4 tiles cut from one stomach biopsy slide · H&E stain.
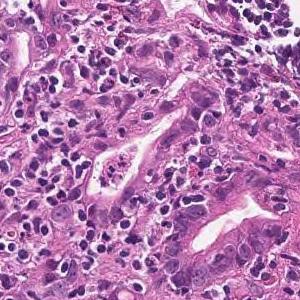
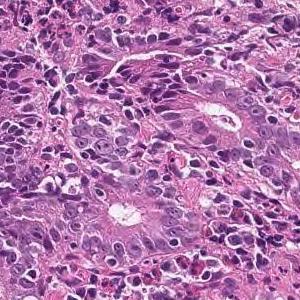
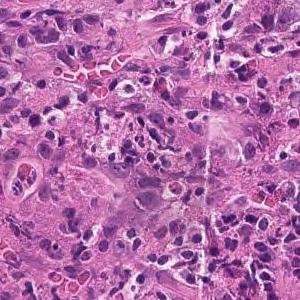
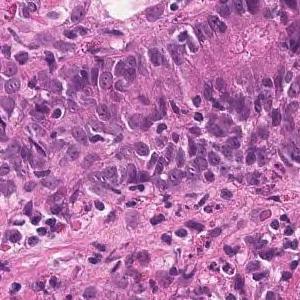
Pathology report for the biopsy slide these tiles were cut from. The report describes the whole slide, diagnosis included: not every finding it names need appear in these tiles, which may also show non-tumor tissue.
Tumor tissue consisting of medium-sized, cord-like or irregular glandular infiltration is observed in the superficial epithelium. Poorly differentiated adenocarcinoma, non-solid type or moderately differentiated tubular adenocarcinoma
The dataset labels this slide poorly differentiated adenocarcinoma, non-solid type.
The term "non-solid type" comes from the Japanese Classification of Gastric Carcinoma.
